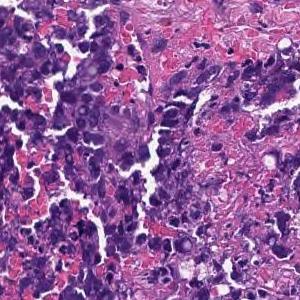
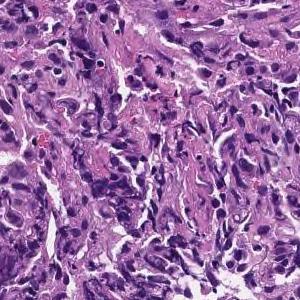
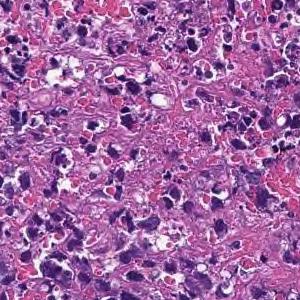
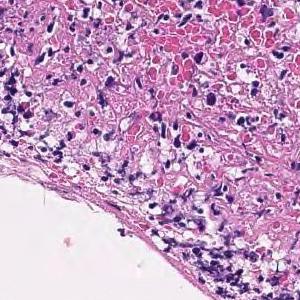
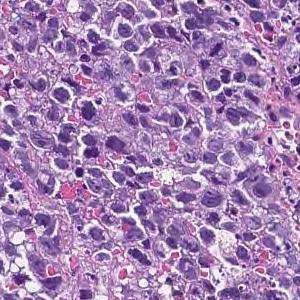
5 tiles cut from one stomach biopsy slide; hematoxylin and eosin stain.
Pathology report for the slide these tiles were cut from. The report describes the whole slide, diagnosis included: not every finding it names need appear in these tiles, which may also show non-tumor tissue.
Most are composed of coagulative necrotic tissue, but some show a large sheet-like shape, and some show tumor tissue infiltrating with a small cord-like structure. Poorly differentiated adenocarcinoma, solid-type
Tumor subtype: poorly differentiated adenocarcinoma, solid type. This name comes from the Japanese Classification of Gastric Carcinoma; the WHO 2019 classification calls it tubular adenocarcinoma, poorly differentiated.
